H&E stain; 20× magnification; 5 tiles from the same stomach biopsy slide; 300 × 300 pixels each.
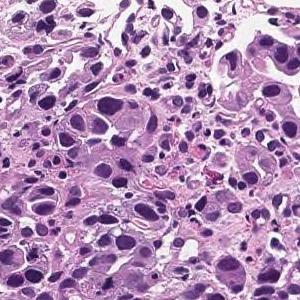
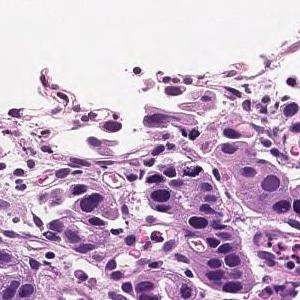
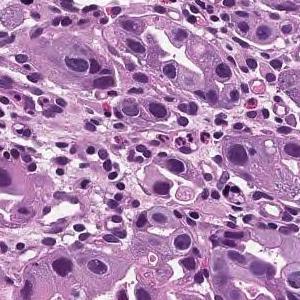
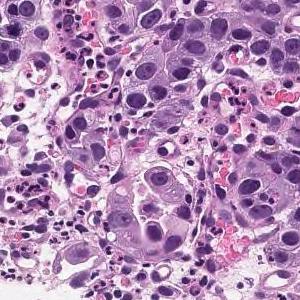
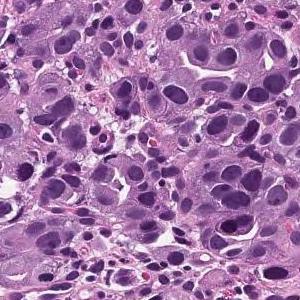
Pathology report for the biopsy slide these tiles were cut from. Both the report and the diagnosis are for the whole slide: these tiles need not show every feature named, and some of the tissue shown may not be tumor.
The superficial epithelium shows a large sheet or alveolar shape, and tumor tissue infiltrating without irregular ducts is observed. Poorly differentiated adenocarcinoma, solid-type
Histological subtype: Poorly differentiated adenocarcinoma, solid type. This name comes from the Japanese Classification of Gastric Carcinoma; the WHO 2019 classification calls it tubular adenocarcinoma, poorly differentiated.
